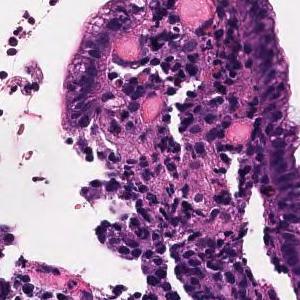
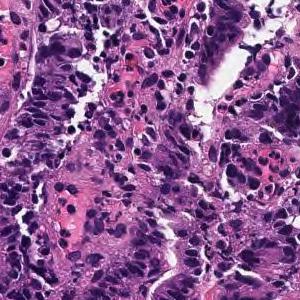
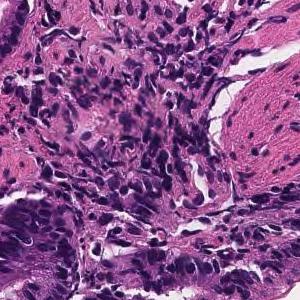
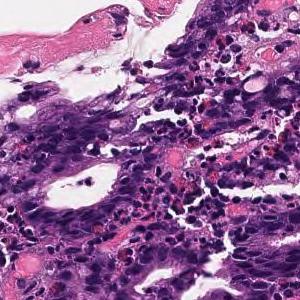
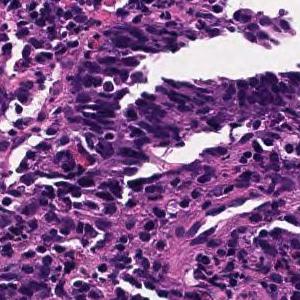
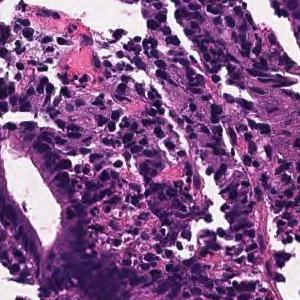
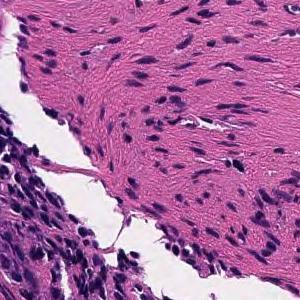
Hematoxylin and eosin stain, scanned at ×20, 7 tiles cut from one stomach biopsy slide, each 300 × 300 pixels.
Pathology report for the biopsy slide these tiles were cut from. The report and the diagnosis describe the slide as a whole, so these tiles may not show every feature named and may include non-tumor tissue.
In the superficial epithelium, tumor tissue that invades by forming medium-sized to small, irregular ducts is observed. moderately differentiated tubular adenocarcinoma.
